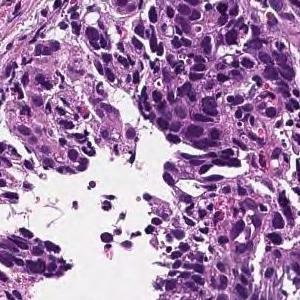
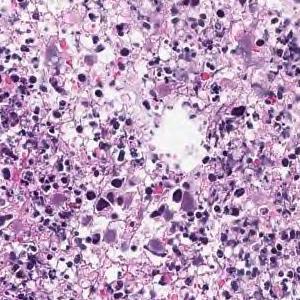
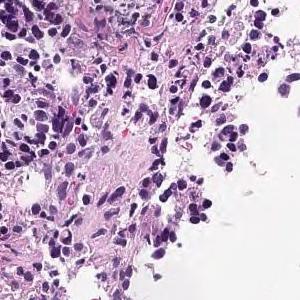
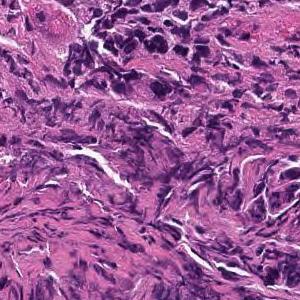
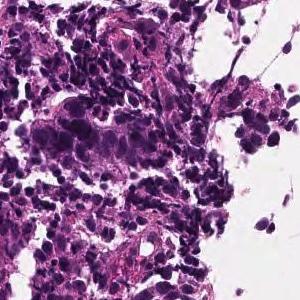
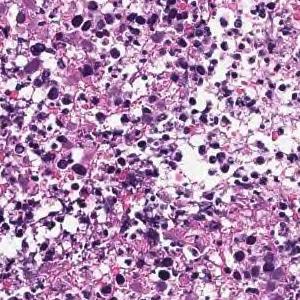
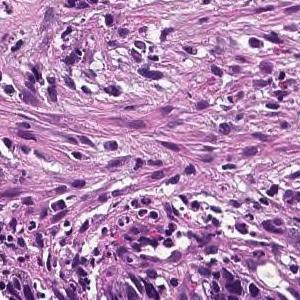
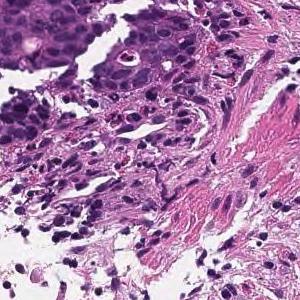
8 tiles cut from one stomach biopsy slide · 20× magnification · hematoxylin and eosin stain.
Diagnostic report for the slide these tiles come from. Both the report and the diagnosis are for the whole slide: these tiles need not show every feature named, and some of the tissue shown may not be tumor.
In the superficial epithelium, tumor tissue that invades by forming medium-sized to small, irregular ducts is observed. moderately differentiated tubular adenocarcinoma.
